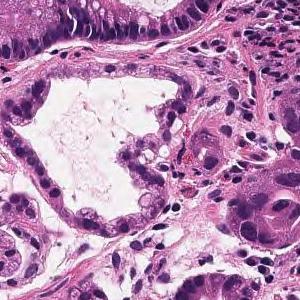
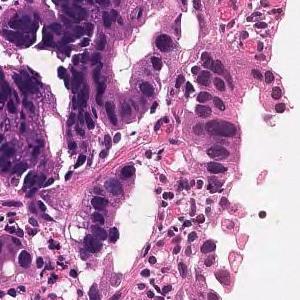
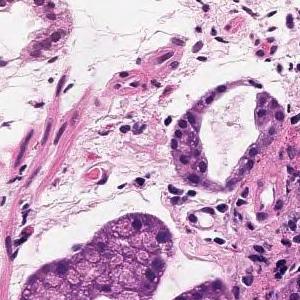
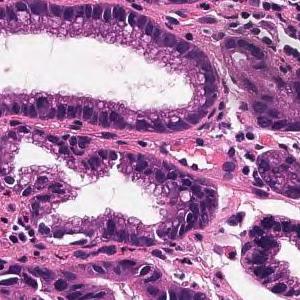
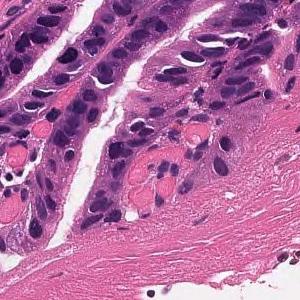
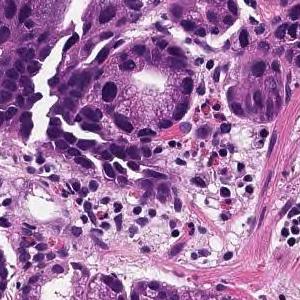
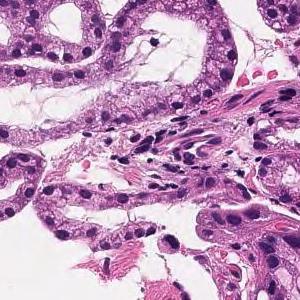
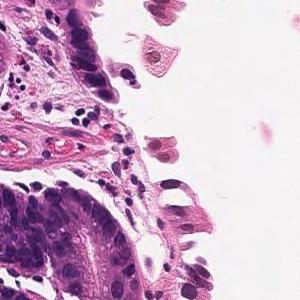
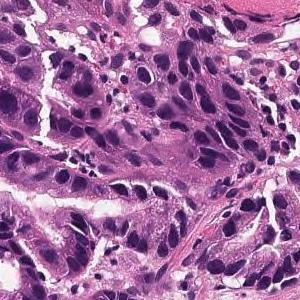
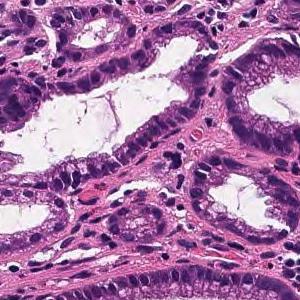
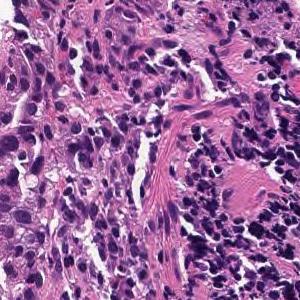
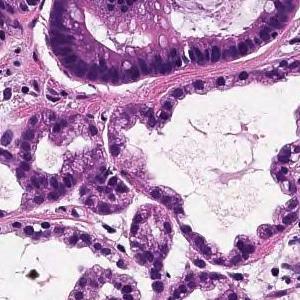
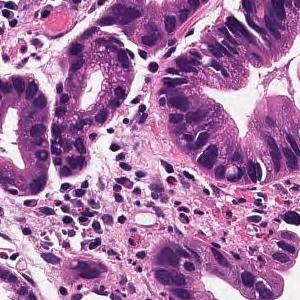
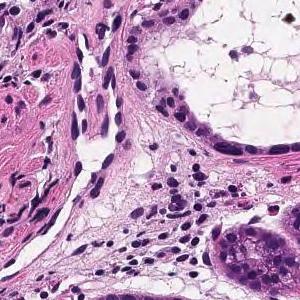
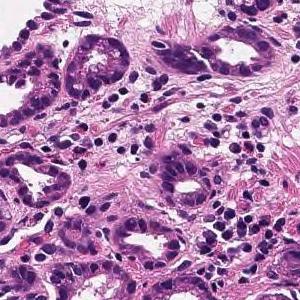
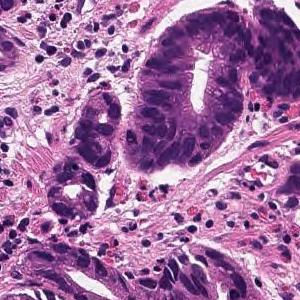
H&E, scanned at ×20, 16 patches cut from one gastric biopsy slide.
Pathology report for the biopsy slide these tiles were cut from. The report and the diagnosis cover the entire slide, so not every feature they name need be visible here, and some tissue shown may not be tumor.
On the superficial epithelium, tumor tissue consisting of large, irregular glandular ducts partially fused and infiltrated is observed. Well to moderately differentiated tubular adenocarcinoma (well differentiated tubular adenocarcinoma, moderately differentiated tubular adenocarcinoma)
Histological subtype: Well to moderately differentiated tubular adenocarcinoma.
